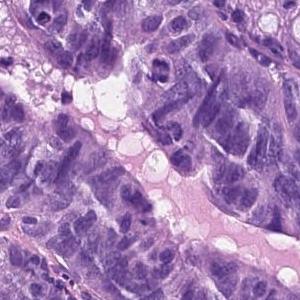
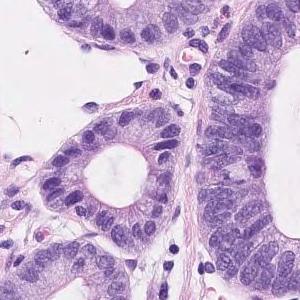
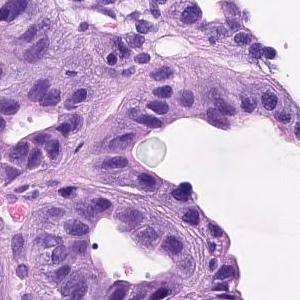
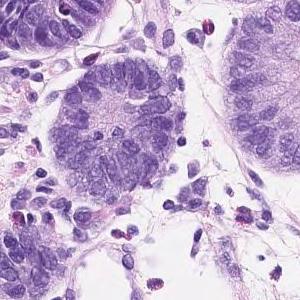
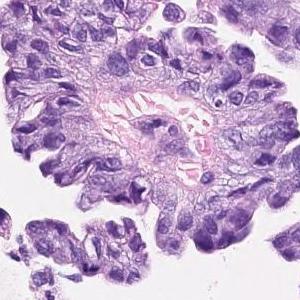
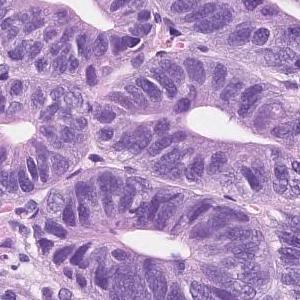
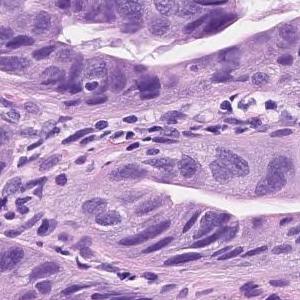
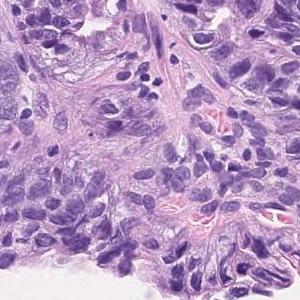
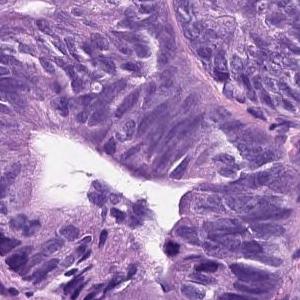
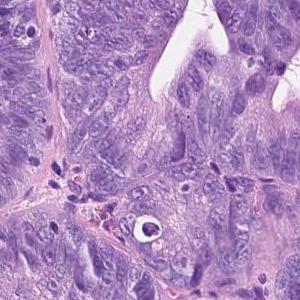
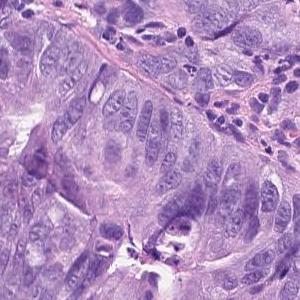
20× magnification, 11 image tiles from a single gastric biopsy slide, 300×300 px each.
Diagnostic report for the slide these tiles come from. Both the report and the diagnosis are for the whole slide: these tiles need not show every feature named, and some of the tissue shown may not be tumor.
Tumor tissue consisting of medium-sized and irregular ducts is observed infiltrating in the superficial epithelium. Tumor cells are highly columnar, with nuclei aligned basolaterally and polarized. Well differentiated tubular adenocarcinoma.
